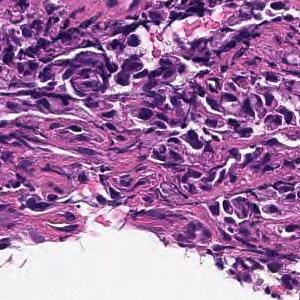
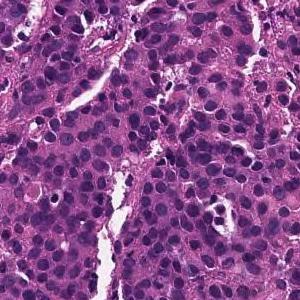
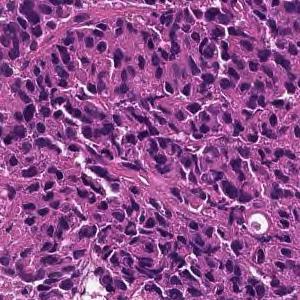
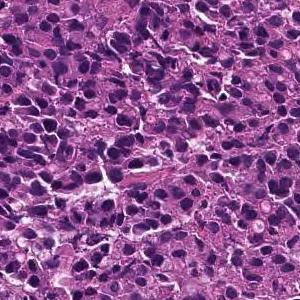
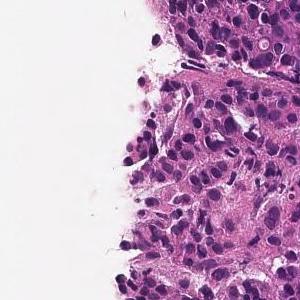
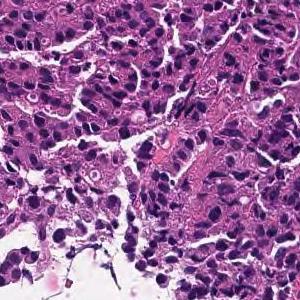
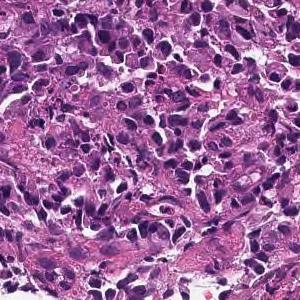
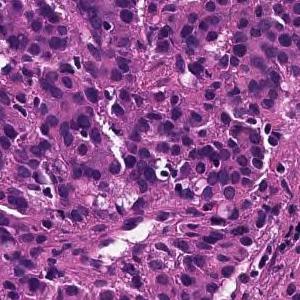
8 image tiles from a single gastric biopsy slide; 300 × 300 pixels each.
Report on the slide these tiles come from. Both the report and the diagnosis are for the whole slide: these tiles need not show every feature named, and some of the tissue shown may not be tumor.
The superficial epithelium shows a large sheet-like shape, and some tumor tissue infiltrates with small irregular ducts. Poorly differentiated adenocarcinoma, solid-type
Subtype: Poorly differentiated adenocarcinoma, solid type. This name comes from the Japanese Classification of Gastric Carcinoma; the WHO 2019 classification calls it tubular adenocarcinoma, poorly differentiated.
